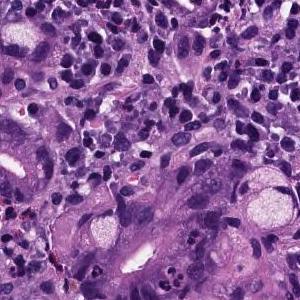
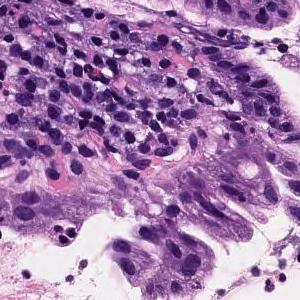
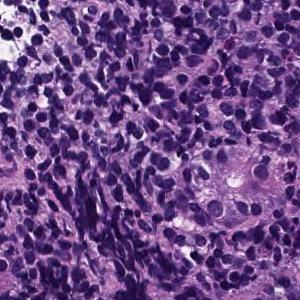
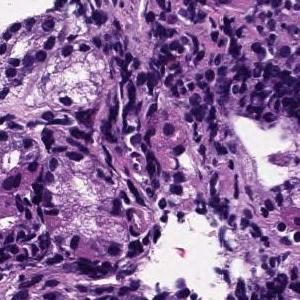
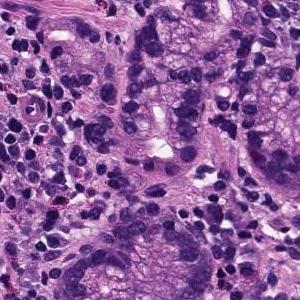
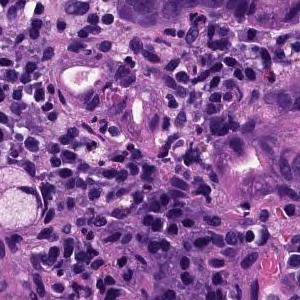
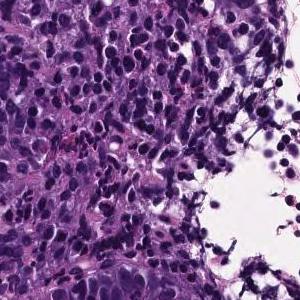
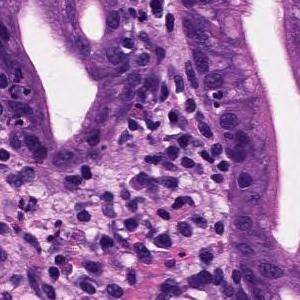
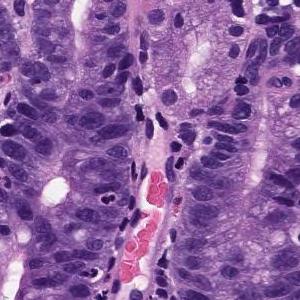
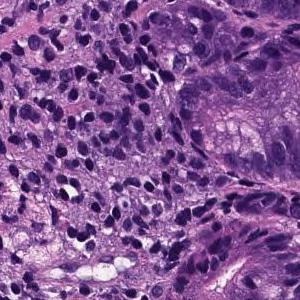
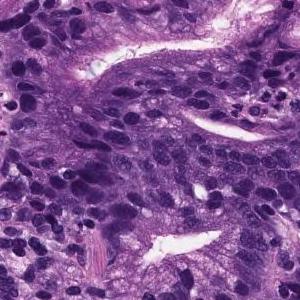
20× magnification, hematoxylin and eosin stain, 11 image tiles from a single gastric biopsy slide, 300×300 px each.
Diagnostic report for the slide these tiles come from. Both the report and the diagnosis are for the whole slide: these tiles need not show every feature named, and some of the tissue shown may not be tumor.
Medium to small, irregular glandular ducts are formed in the superficial epithelium, and in some cases, the glandular ducts are fused to show solid alveolar lesions and infiltrating tumor tissue is observed. Moderately to poorly differentiated adenocarcinoma.
